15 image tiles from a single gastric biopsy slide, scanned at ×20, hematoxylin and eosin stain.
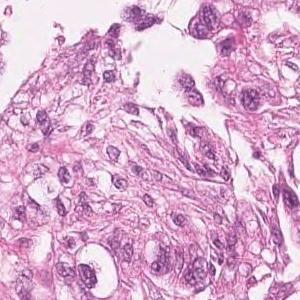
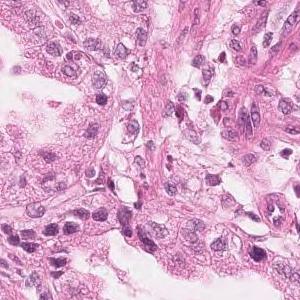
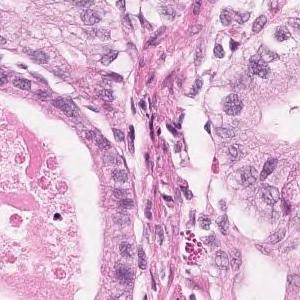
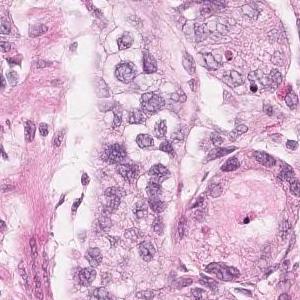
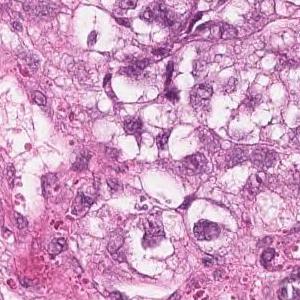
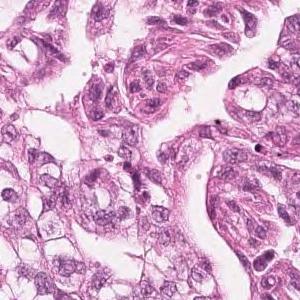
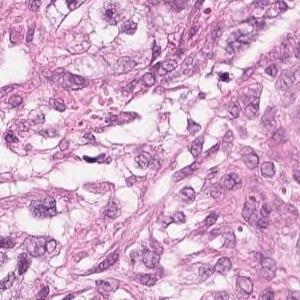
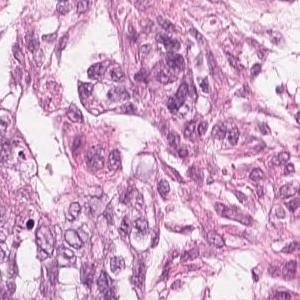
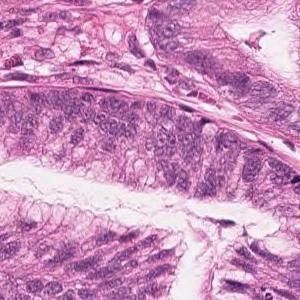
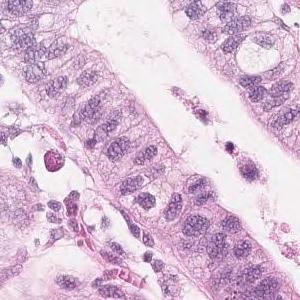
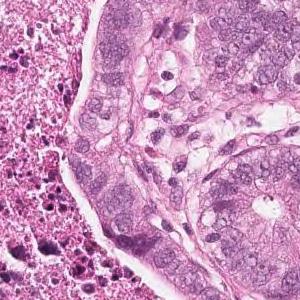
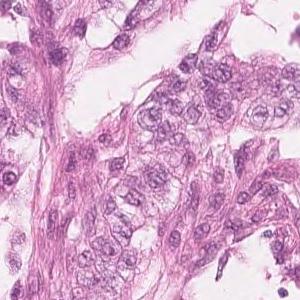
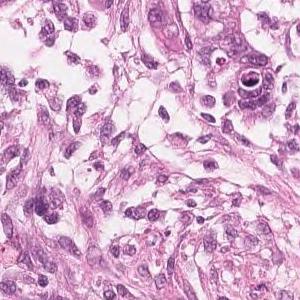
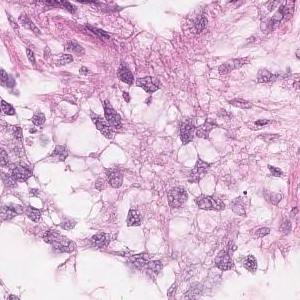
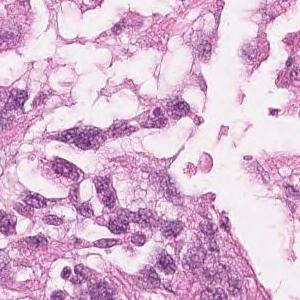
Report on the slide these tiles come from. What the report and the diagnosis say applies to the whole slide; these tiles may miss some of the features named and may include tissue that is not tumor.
Highly columnar epithelium with disordered nuclear localization proliferates showing fusion ductal construction. moderately differentiated tubular adenocarcinoma
